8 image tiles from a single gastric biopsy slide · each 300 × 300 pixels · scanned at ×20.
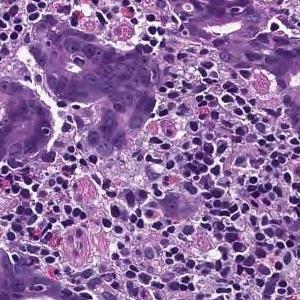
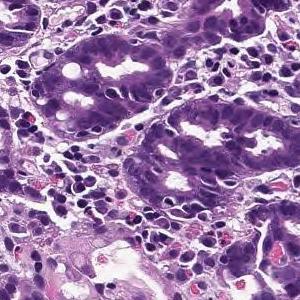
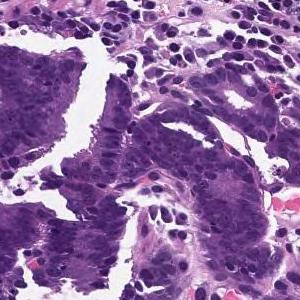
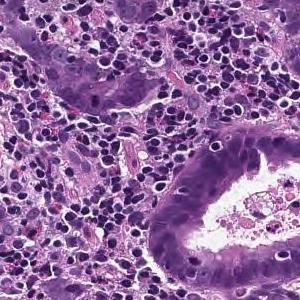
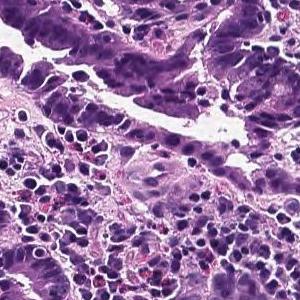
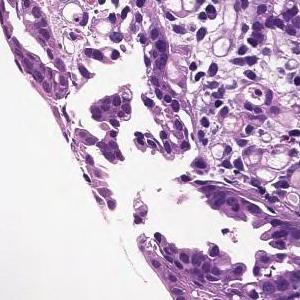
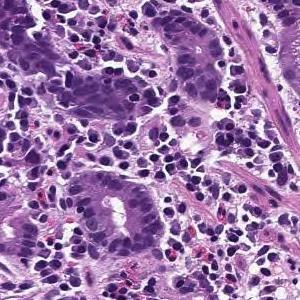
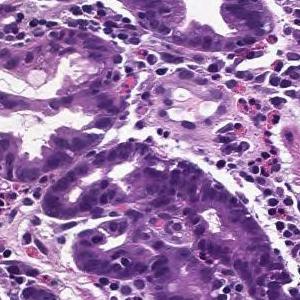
Diagnostic report for the slide these tiles come from. The report describes the whole slide, diagnosis included: not every finding it names need appear in these tiles, which may also show non-tumor tissue.
In the superficial epithelium, tumor tissue that invades by forming medium-sized to small, irregular ducts is observed. moderately differentiated tubular adenocarcinoma.
